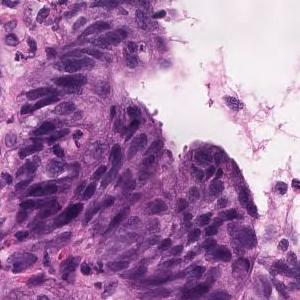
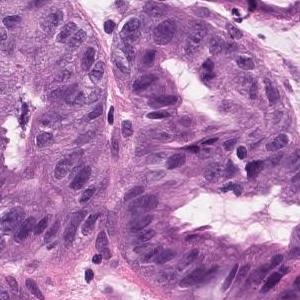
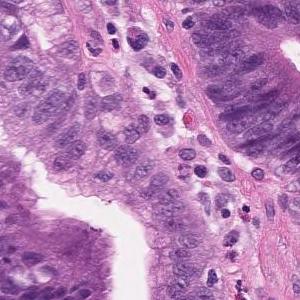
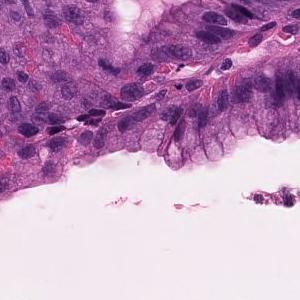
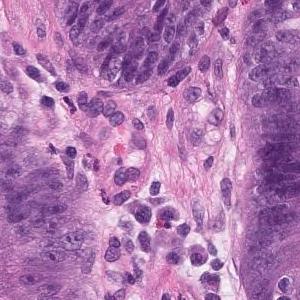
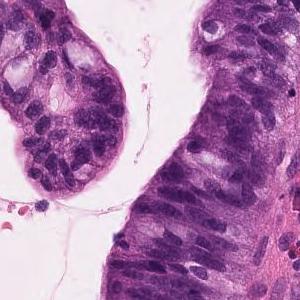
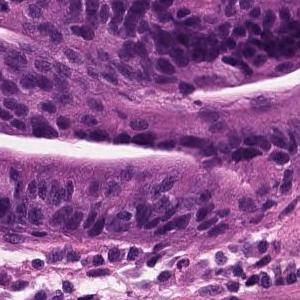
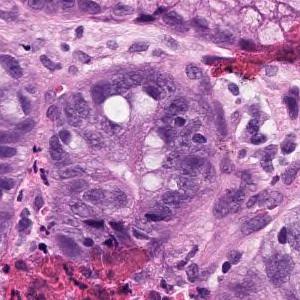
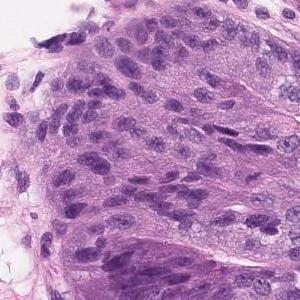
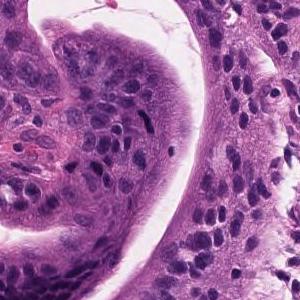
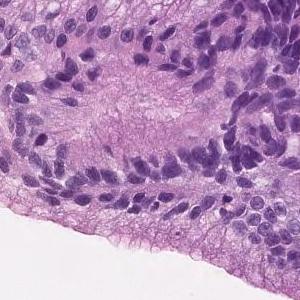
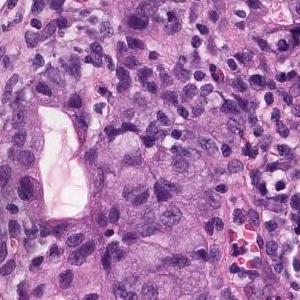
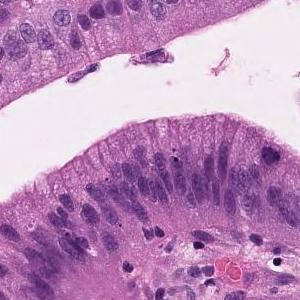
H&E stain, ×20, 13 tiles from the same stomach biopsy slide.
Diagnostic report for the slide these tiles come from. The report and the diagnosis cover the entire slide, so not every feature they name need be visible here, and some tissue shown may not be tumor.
On the superficial epithelium, tumor tissue consisting of large, irregular glandular ducts partially fused and infiltrated is observed. Well to moderately differentiated tubular adenocarcinoma (well differentiated tubular adenocarcinoma, moderately differentiated tubular adenocarcinoma)
Classified as well to moderately differentiated tubular adenocarcinoma.
